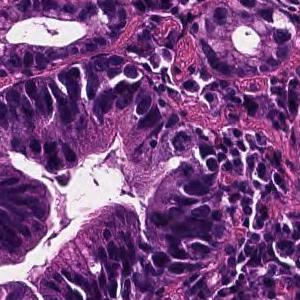
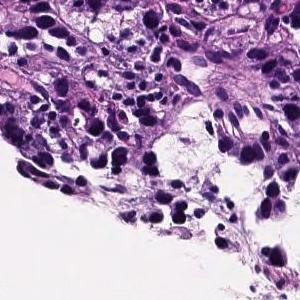
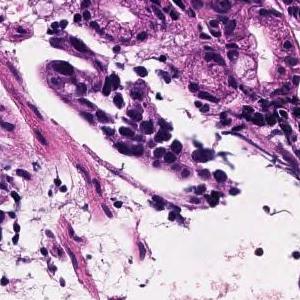
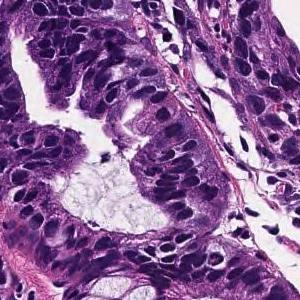
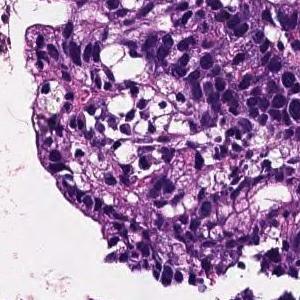
20× magnification · H&E · 5 image tiles from a single gastric biopsy slide.
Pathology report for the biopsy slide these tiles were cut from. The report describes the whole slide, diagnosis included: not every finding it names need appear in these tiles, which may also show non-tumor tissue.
Tumor cells are large, highly columnar, large club-shaped nuclei, and are associated with chromatin aggregation. Papillary adenocarcinoma.
